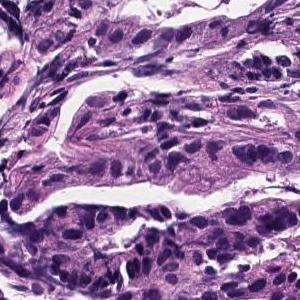
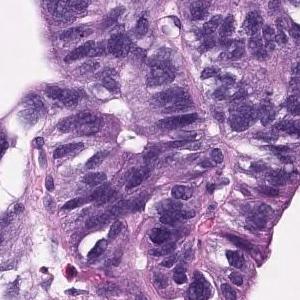
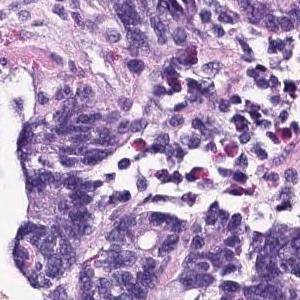
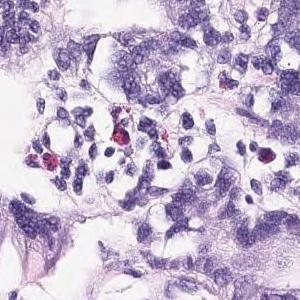
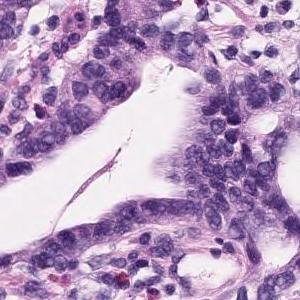
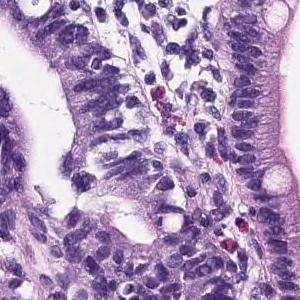
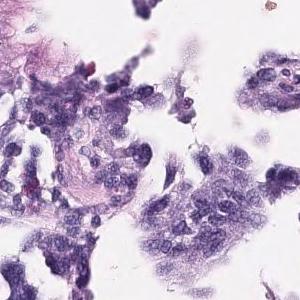
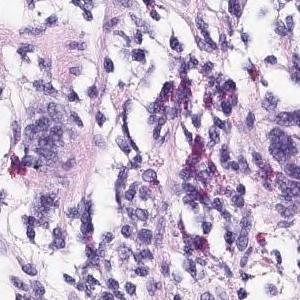
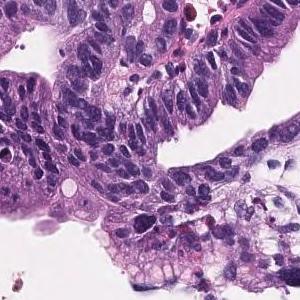
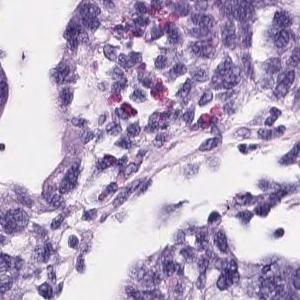
Hematoxylin and eosin stain, scanned at ×20, 10 tiles cut from one stomach biopsy slide, 300 × 300 pixels each.
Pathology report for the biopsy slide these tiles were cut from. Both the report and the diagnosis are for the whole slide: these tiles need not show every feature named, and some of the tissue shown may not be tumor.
Tumor cells are large, highly columnar, large club-shaped nuclei, and are associated with chromatin aggregation. Papillary adenocarcinoma.
